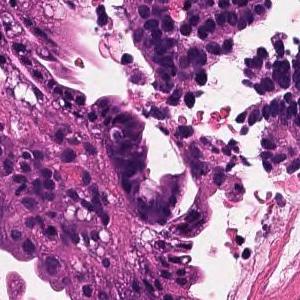
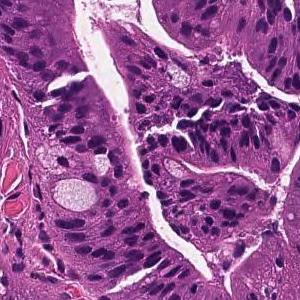
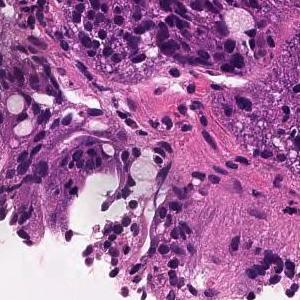
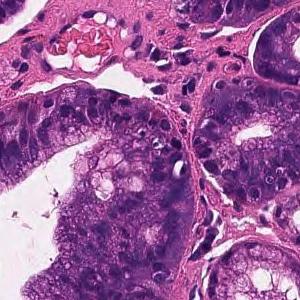
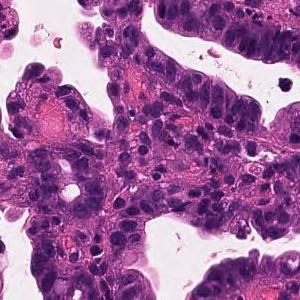
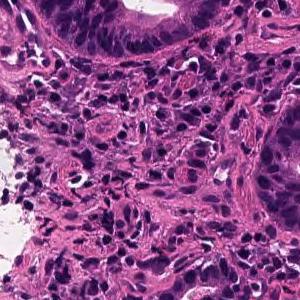
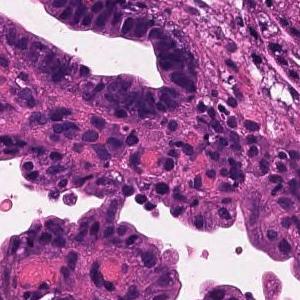
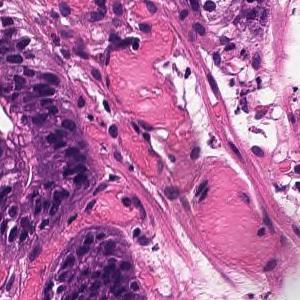
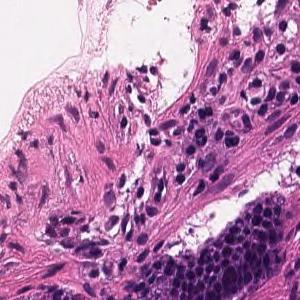
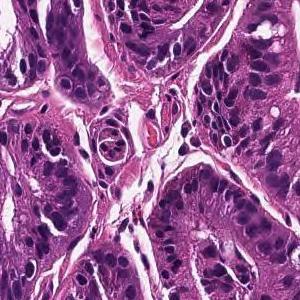
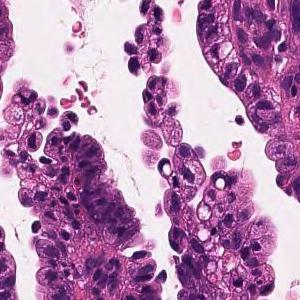
11 tiles cut from one stomach biopsy slide; 300 × 300 pixels each.
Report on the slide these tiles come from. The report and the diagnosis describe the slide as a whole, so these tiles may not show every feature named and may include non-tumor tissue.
On the superficial epithelium, tumor tissue that infiltrates by forming medium-sized papillary or small irregular ducts is observed. Papillary adenocarcinoma
